H&E stain, 20× magnification, 10 tiles cut from one stomach biopsy slide, each 300 × 300 pixels.
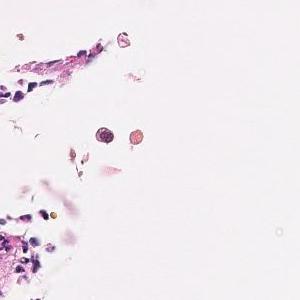
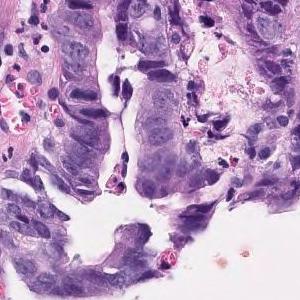
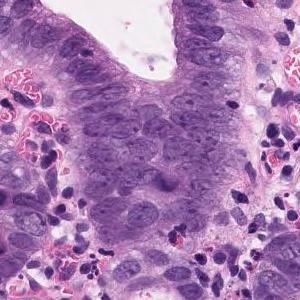
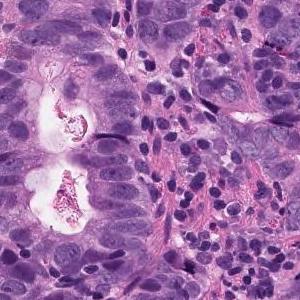
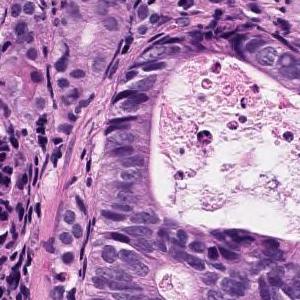
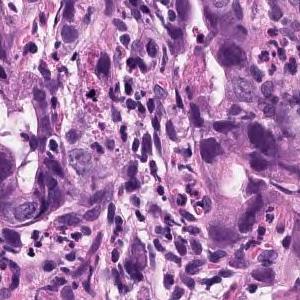
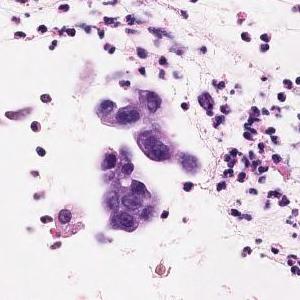
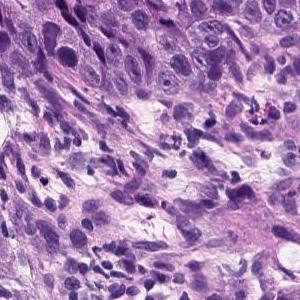
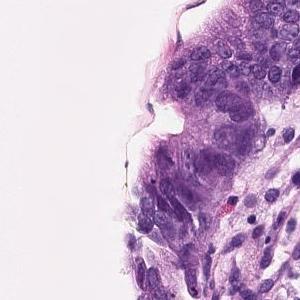
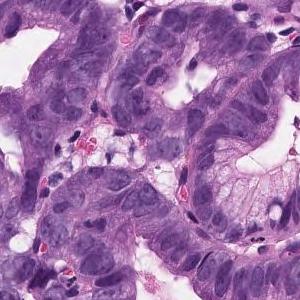
Pathology report for the biopsy slide these tiles were cut from. The report describes the whole slide, diagnosis included: not every finding it names need appear in these tiles, which may also show non-tumor tissue.
The swollen atypical epithelium of the nucleus forms an irregular ductal structure and proliferates. moderately differentiated tubular adenocarcinoma
